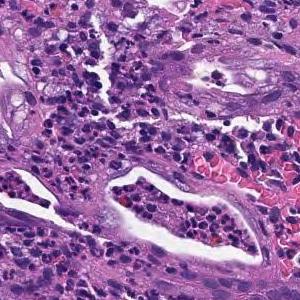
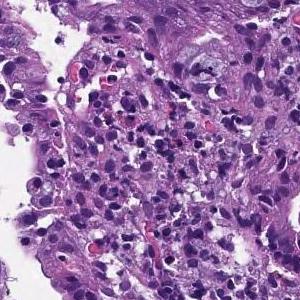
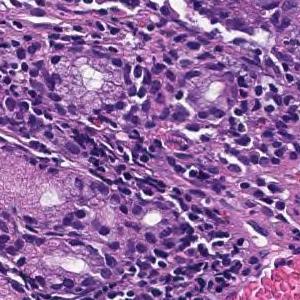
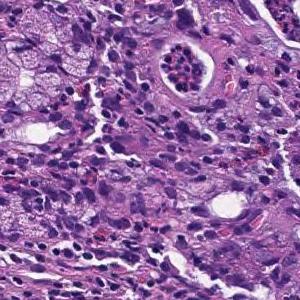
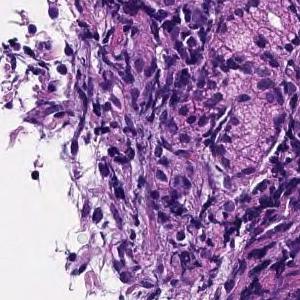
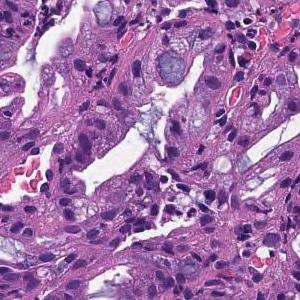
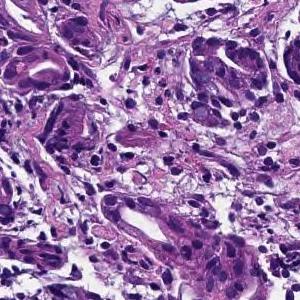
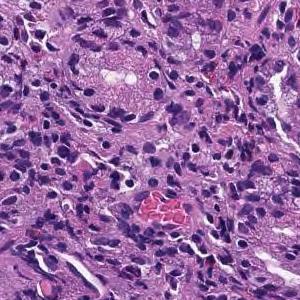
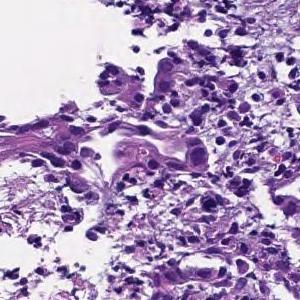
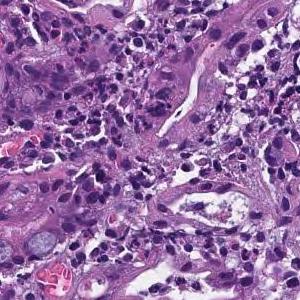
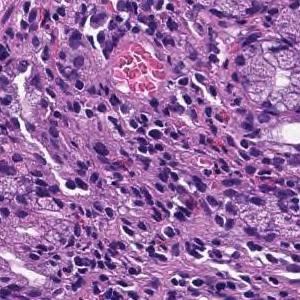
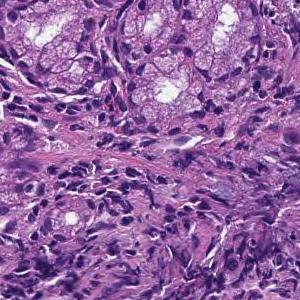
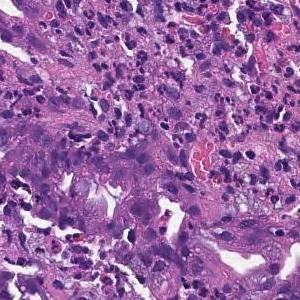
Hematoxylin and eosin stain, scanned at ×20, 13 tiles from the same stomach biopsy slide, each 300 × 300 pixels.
Pathology report for the slide these tiles were cut from. The report and the diagnosis cover the entire slide, so not every feature they name need be visible here, and some tissue shown may not be tumor.
In the superficial epithelium, tumor tissue that invades by forming medium-sized to small, irregular ducts is observed. moderately differentiated tubular adenocarcinoma.
